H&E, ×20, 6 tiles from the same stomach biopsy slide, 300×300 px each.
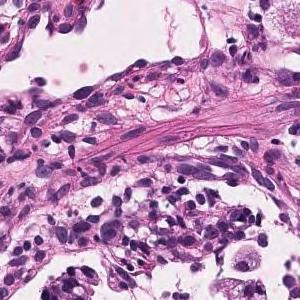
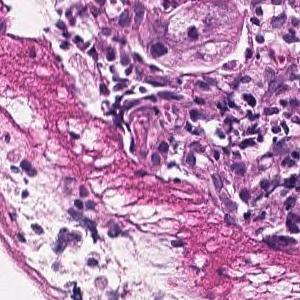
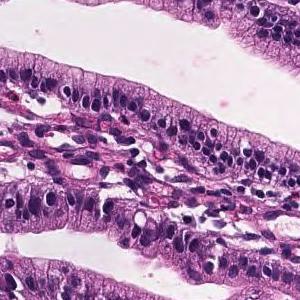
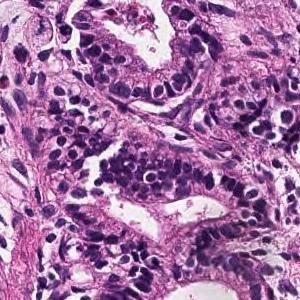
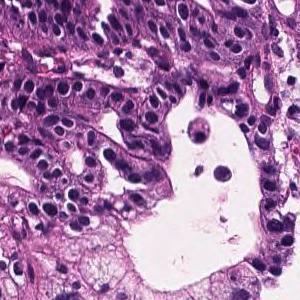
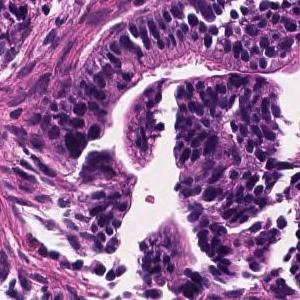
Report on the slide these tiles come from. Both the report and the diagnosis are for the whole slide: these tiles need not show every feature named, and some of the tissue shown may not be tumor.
Tumor tissue consisting of large papillary structures or irregular glandular ducts partially fused and infiltrated is observed in the superficial epithelium. Well to moderately differentiated tubular adenocarcinoma.
Dataset label: moderately differentiated tubular adenocarcinoma.
